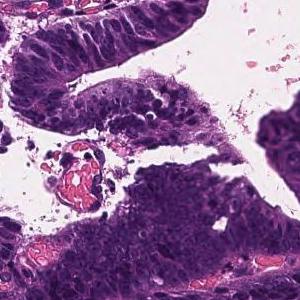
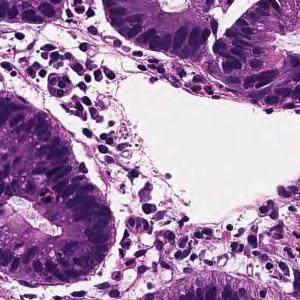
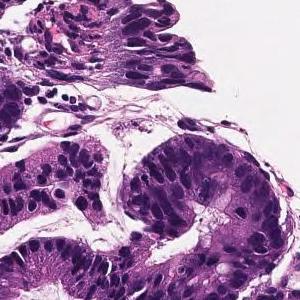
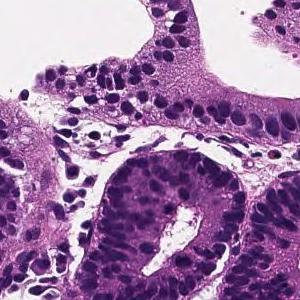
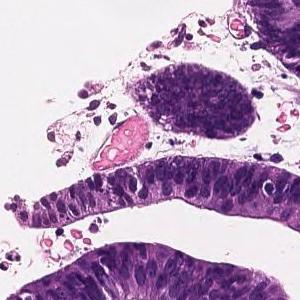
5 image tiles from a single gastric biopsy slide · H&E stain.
Pathology report for the biopsy slide these tiles were cut from. What the report and the diagnosis say applies to the whole slide; these tiles may miss some of the features named and may include tissue that is not tumor.
Tumor tissue consisting of large papillary structures is found in the superficial epithelium. Papillary adenocarcinoma.
